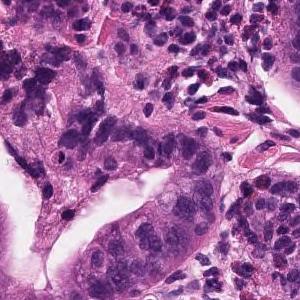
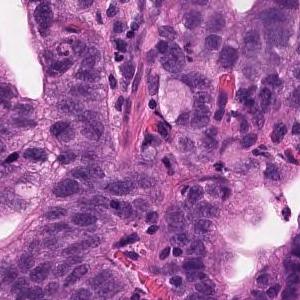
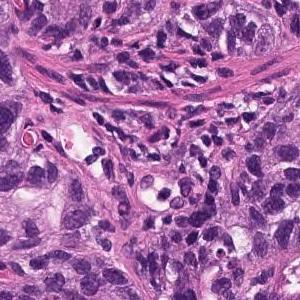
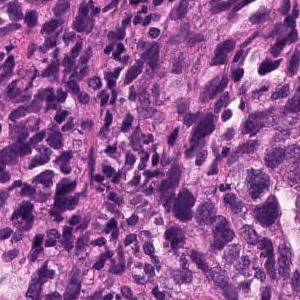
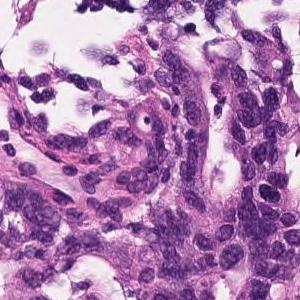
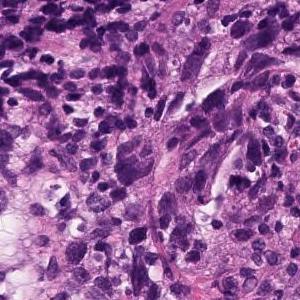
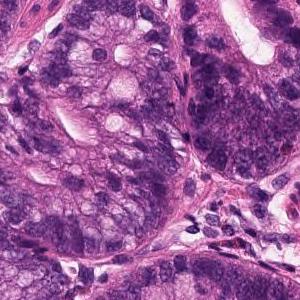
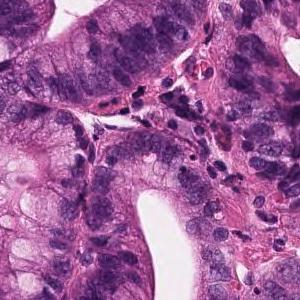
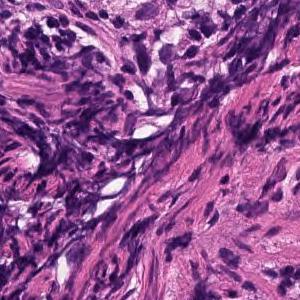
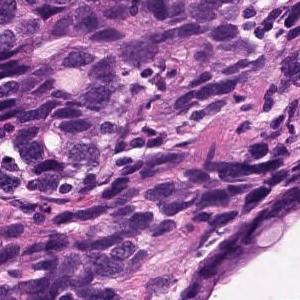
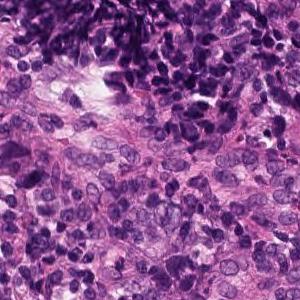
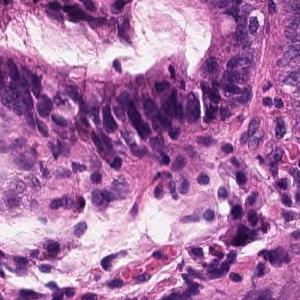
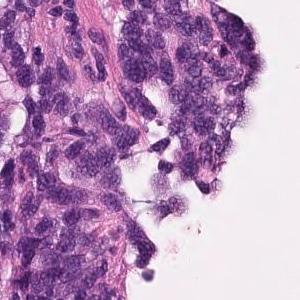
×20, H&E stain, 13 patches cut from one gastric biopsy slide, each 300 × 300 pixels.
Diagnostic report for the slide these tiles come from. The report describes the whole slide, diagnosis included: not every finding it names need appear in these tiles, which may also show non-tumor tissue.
In the superficial epithelium, tumor tissue that invades by forming medium-sized to small, irregular ducts is observed. Moderately differentiated adenocarcinoma.
Histologic type: Moderately differentiated tubular adenocarcinoma.
